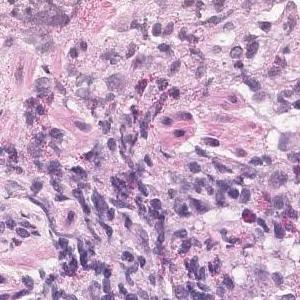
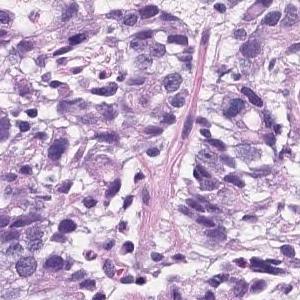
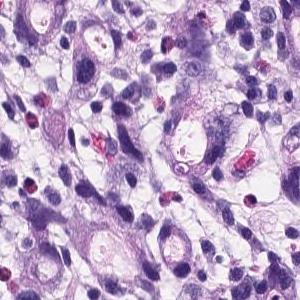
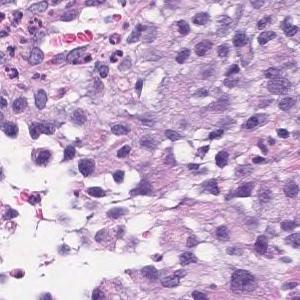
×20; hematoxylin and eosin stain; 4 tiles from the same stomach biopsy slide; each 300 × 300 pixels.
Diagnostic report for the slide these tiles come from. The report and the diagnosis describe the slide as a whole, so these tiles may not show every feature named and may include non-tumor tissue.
There are atypical l cells with atypical nuclei forming cord-like or irregular atypical ducts from solidity and proliferating in a comprehensive manner. Poorly differentiated adenocarcinoma, Moderately differentiated adenocarcinoma (poorly differentiated adenocarcinoma, solid type moderately differentiated tubular adenocarcinoma)
Histological subtype: Moderately to poorly differentiated adenocarcinoma.
The term "solid type" comes from the Japanese Classification of Gastric Carcinoma; the WHO 2019 equivalent is tubular adenocarcinoma, poorly differentiated.
